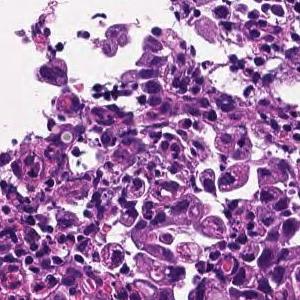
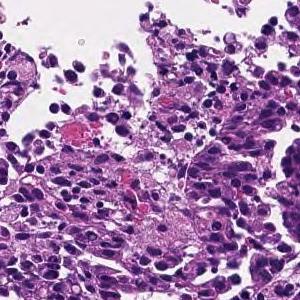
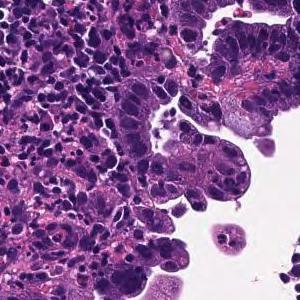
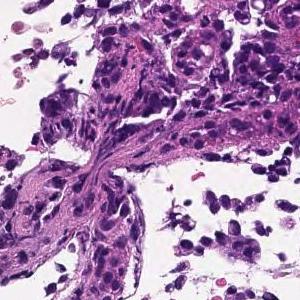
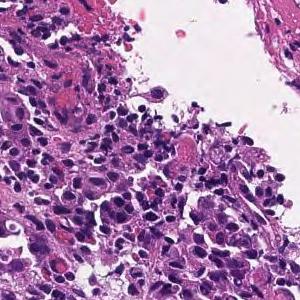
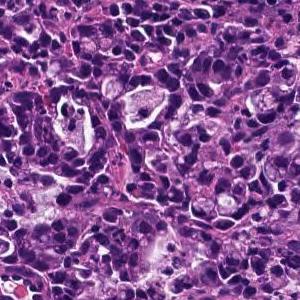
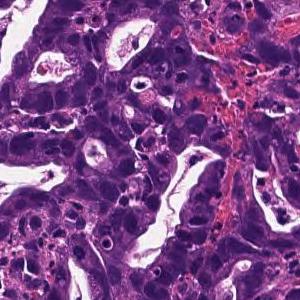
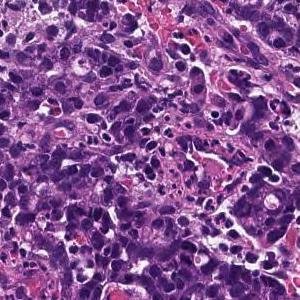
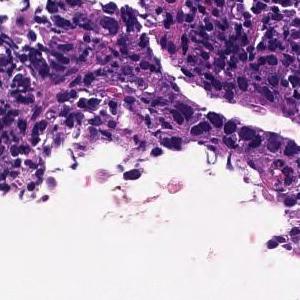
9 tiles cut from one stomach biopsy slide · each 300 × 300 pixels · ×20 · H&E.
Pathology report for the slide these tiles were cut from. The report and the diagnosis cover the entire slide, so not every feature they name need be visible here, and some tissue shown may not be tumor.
In the superficial epithelium, tumor tissue that invades by forming medium-sized to small, irregular ducts is observed. moderately differentiated tubular adenocarcinoma.
